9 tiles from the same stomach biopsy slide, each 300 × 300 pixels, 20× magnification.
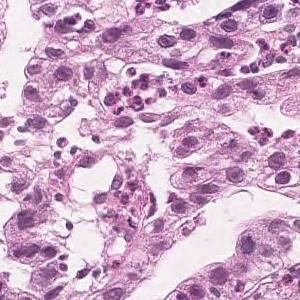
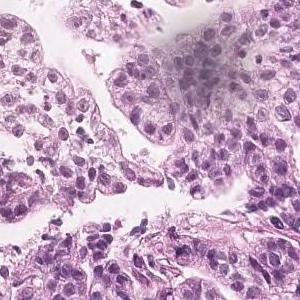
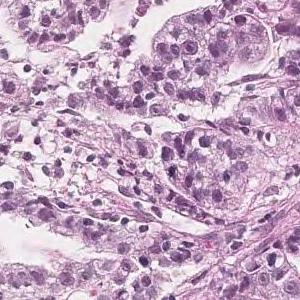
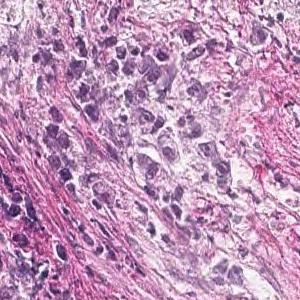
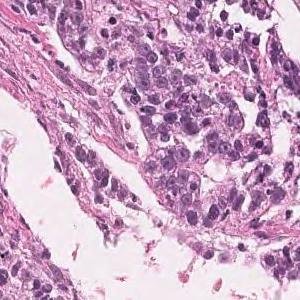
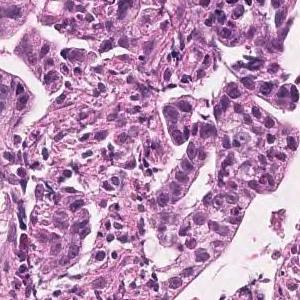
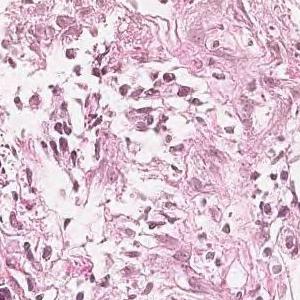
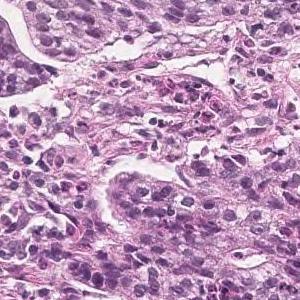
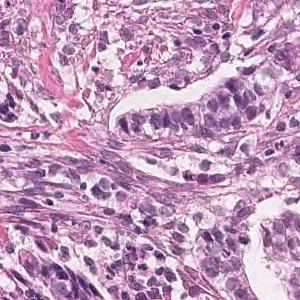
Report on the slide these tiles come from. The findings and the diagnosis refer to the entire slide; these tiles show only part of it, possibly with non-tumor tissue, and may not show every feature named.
Tumor tissue in which highly columnar atypical epithelial cells with nuclear enlargement and increased nuclear chromatin show papillary to papillary ductal structure and proliferate is observed. Papillary adenocarcinoma.
